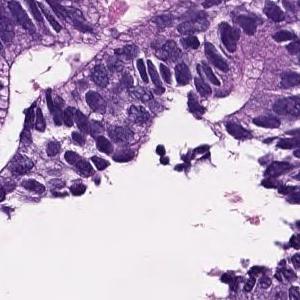
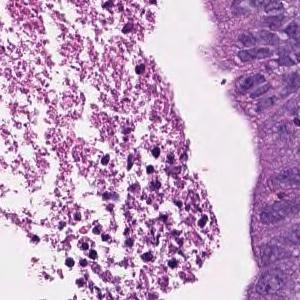
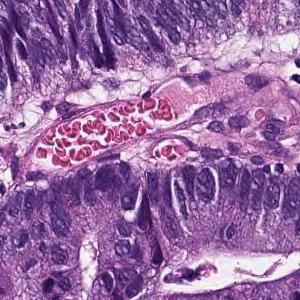
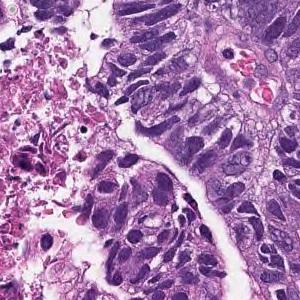
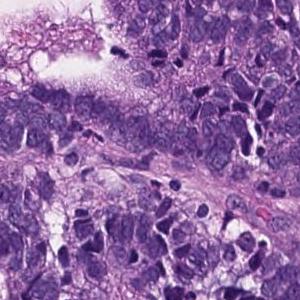
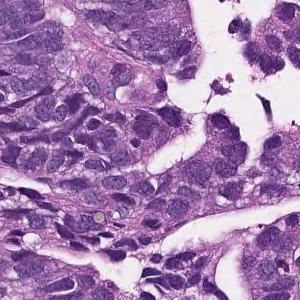
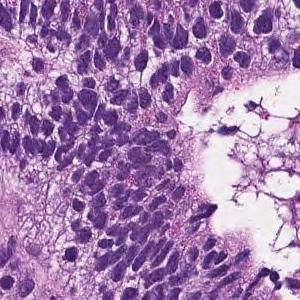
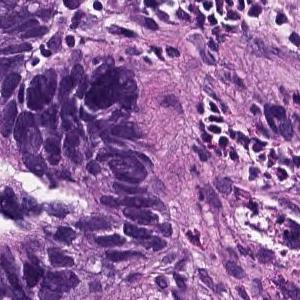
8 tiles from the same stomach biopsy slide, each 300 × 300 pixels, hematoxylin and eosin stain, 20× magnification.
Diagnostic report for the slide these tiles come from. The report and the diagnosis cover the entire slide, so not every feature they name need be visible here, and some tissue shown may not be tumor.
In the superficial epithelium, tumor tissue that invades by forming medium-sized to small, irregular ducts is observed. moderately differentiated tubular adenocarcinoma.
